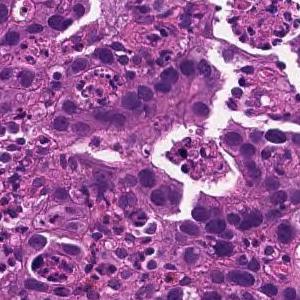
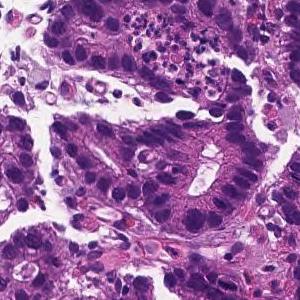
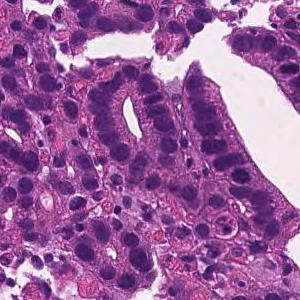
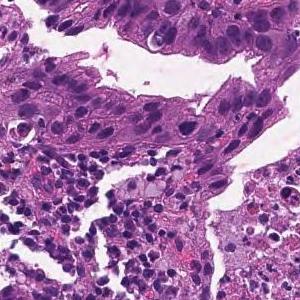
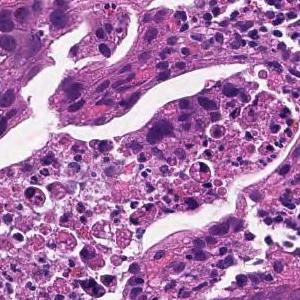
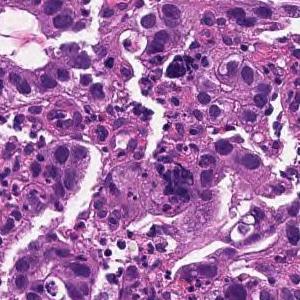
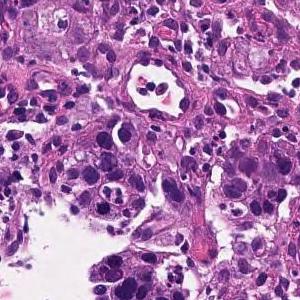
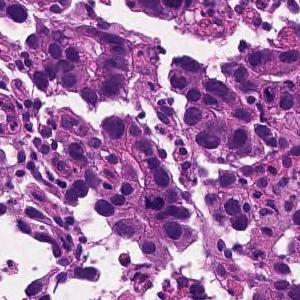
8 tiles cut from one stomach biopsy slide; 300×300 px each; 20× magnification; H&E.
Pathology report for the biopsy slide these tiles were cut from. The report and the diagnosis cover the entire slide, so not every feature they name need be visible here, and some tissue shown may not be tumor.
Medium to small, irregular glandular ducts are formed in the superficial epithelium, and in some cases, the glandular ducts are fused to show solid alveolar lesions and infiltrating tumor tissue is observed. Moderately to poorly differentiated adenocarcinoma.
